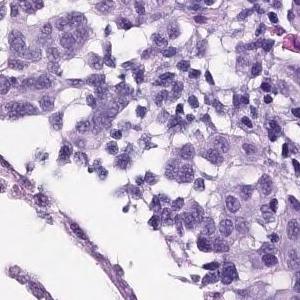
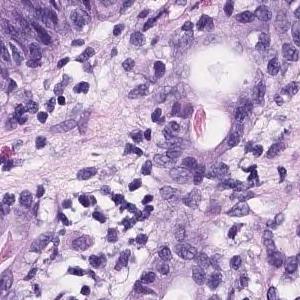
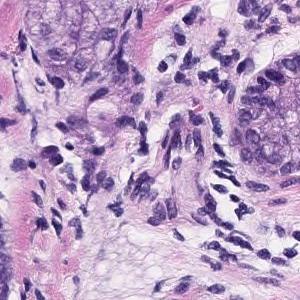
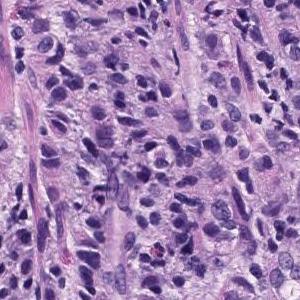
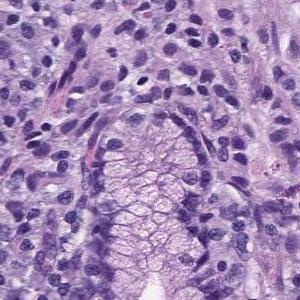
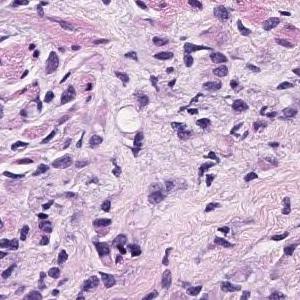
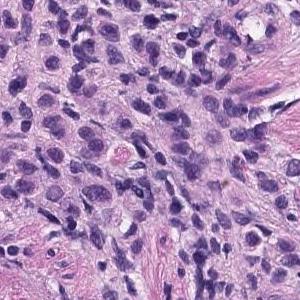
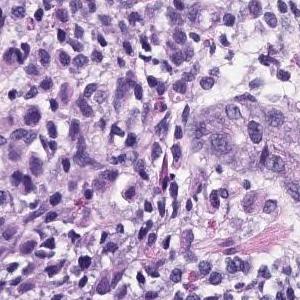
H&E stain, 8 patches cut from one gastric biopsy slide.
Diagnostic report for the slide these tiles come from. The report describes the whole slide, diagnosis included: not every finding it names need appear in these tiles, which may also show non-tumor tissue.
There are medium-sized atypical cells with marked nuclear swelling and increased N/C ratio, which grow into solid or isolated scattered cells. Poorly differentiated adenocarcinoma
Tumor subtype: poorly differentiated adenocarcinoma, solid type. This name comes from the Japanese Classification of Gastric Carcinoma; the WHO 2019 classification calls it tubular adenocarcinoma, poorly differentiated.
